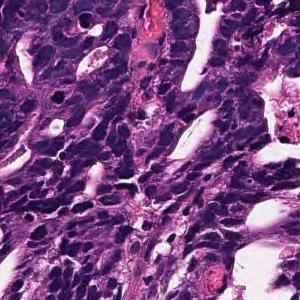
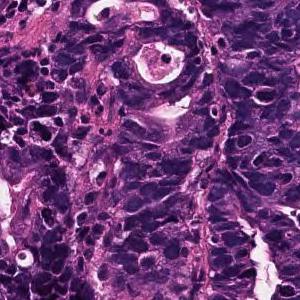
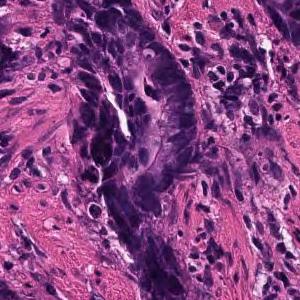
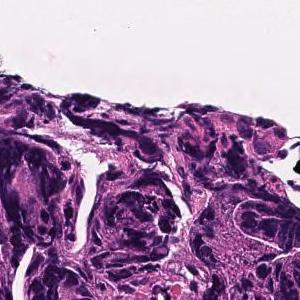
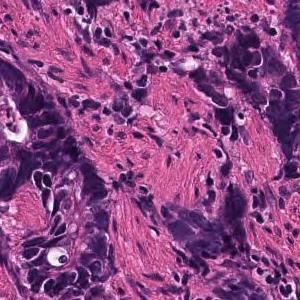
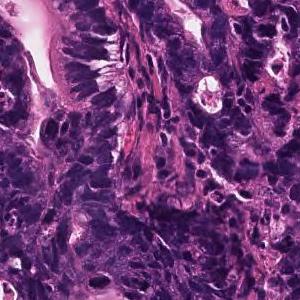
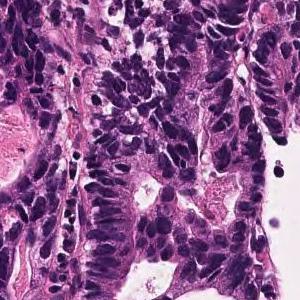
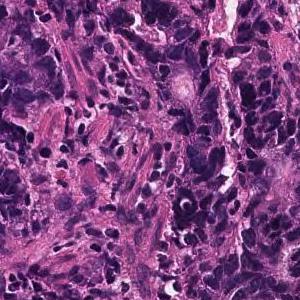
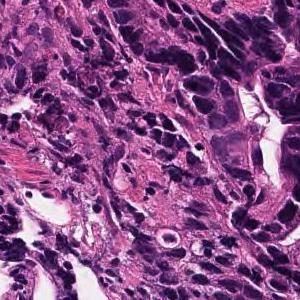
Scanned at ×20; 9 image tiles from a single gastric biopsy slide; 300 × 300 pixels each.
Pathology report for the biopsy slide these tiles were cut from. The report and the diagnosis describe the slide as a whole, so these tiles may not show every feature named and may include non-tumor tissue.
Large and small irregular small glandular ducts forming and infiltrating. moderately differentiated tubular adenocarcinoma
